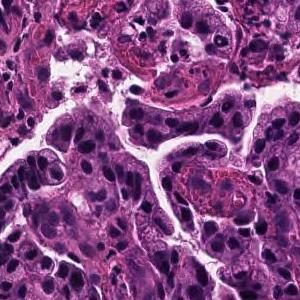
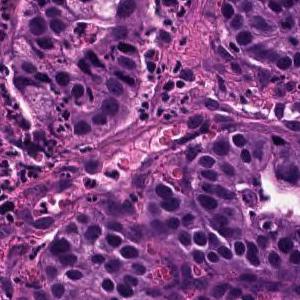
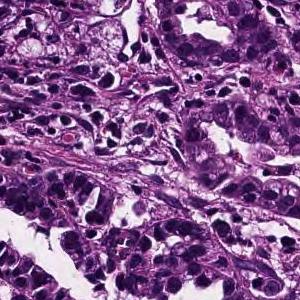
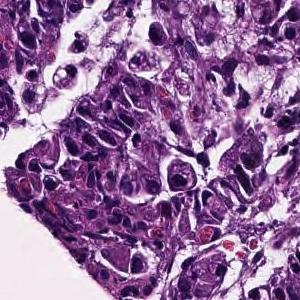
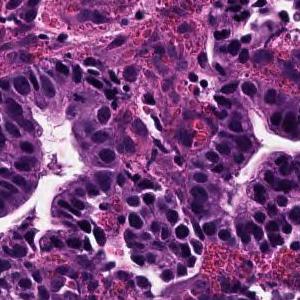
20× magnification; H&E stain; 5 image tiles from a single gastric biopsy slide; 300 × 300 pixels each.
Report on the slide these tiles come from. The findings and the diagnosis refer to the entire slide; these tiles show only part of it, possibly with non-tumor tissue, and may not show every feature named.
Tumor cells are large, highly columnar, large club-shaped nuclei, and are associated with chromatin aggregation. Papillary adenocarcinoma.
